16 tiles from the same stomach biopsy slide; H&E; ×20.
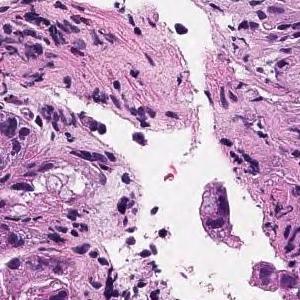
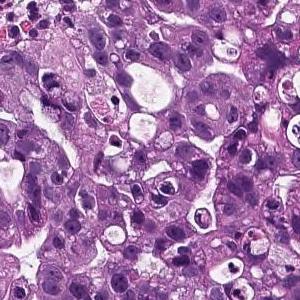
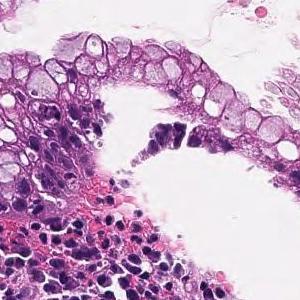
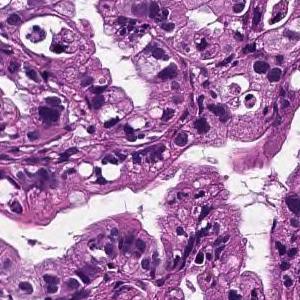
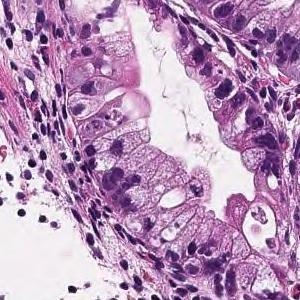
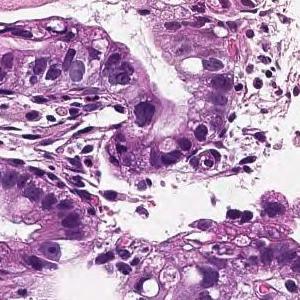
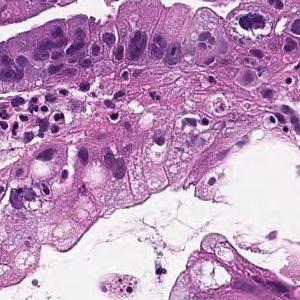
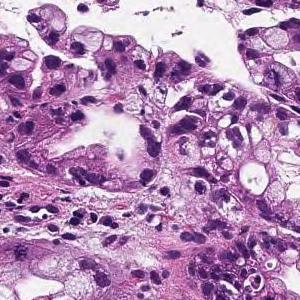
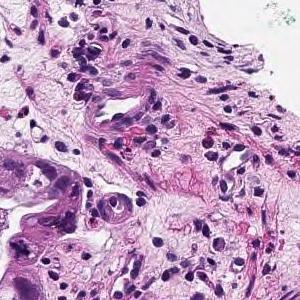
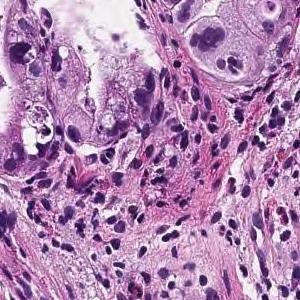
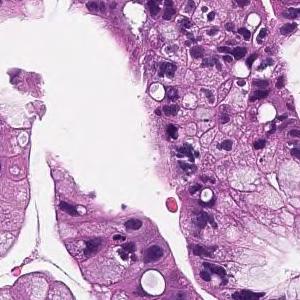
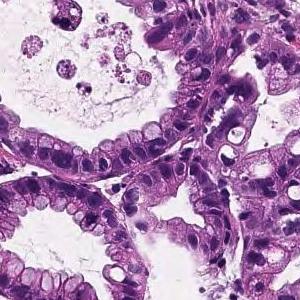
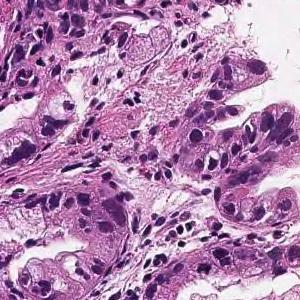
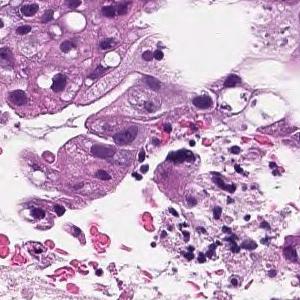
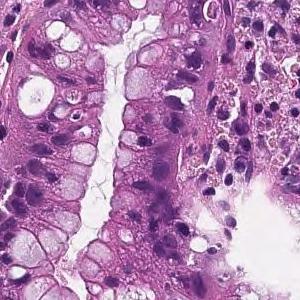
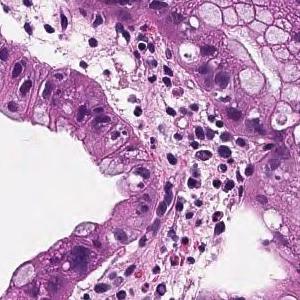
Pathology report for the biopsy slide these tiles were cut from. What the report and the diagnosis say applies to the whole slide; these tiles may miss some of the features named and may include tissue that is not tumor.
From the superficial epithelium to the muscularis mucosae, tumor tissue consisting of medium-sized and irregular glandular ducts infiltrating is observed. Well differentiated tubular adenocarcinoma
